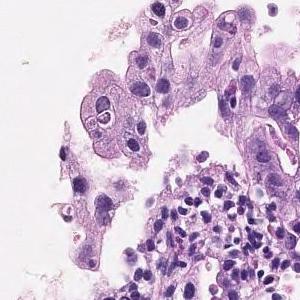
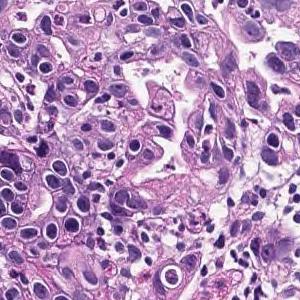
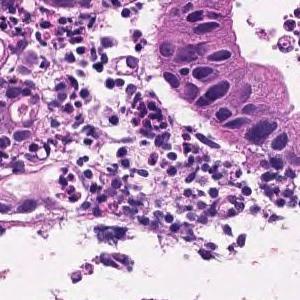
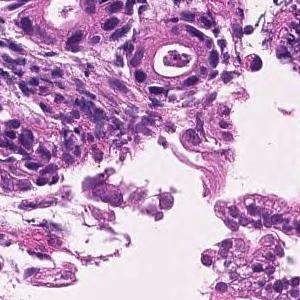
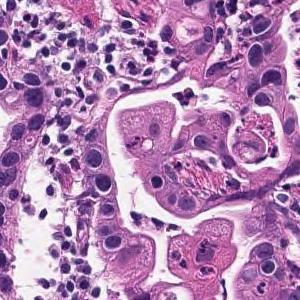
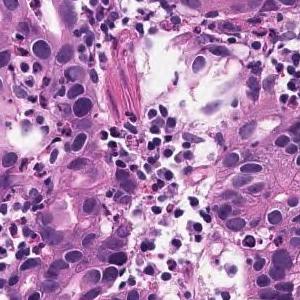
H&E stain, 6 tiles cut from one stomach biopsy slide.
Pathology report for the slide these tiles were cut from. The report and the diagnosis cover the entire slide, so not every feature they name need be visible here, and some tissue shown may not be tumor.
In the superficial epithelium, tumor tissue that invades by forming medium-sized to small, irregular ducts is observed. moderately differentiated tubular adenocarcinoma.
